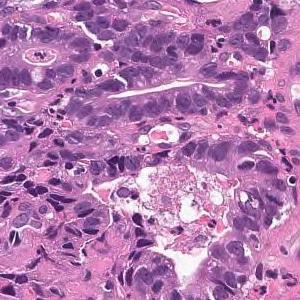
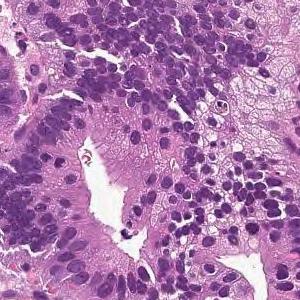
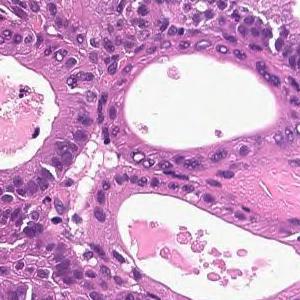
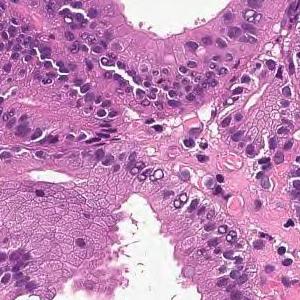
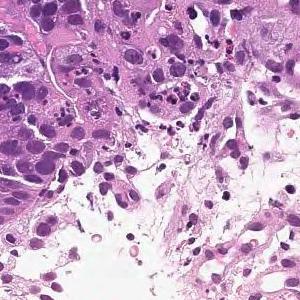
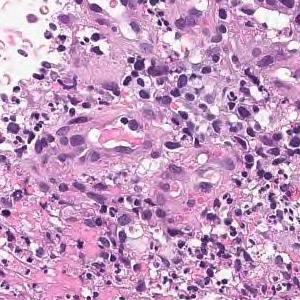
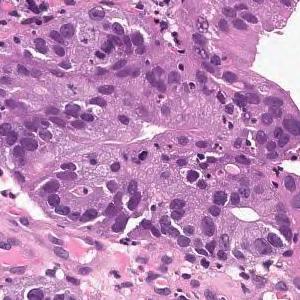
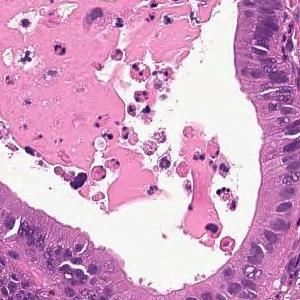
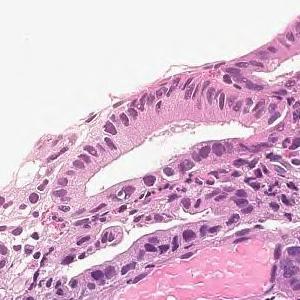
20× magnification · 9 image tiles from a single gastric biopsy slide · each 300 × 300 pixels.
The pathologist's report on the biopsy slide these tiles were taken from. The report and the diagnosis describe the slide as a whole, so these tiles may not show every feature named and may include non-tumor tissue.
From the superficial epithelium to the muscularis mucosae, tumor tissue consisting of medium-sized and irregular glandular ducts infiltrating is observed. Well differentiated tubular adenocarcinoma
